16 tiles from the same stomach biopsy slide, H&E.
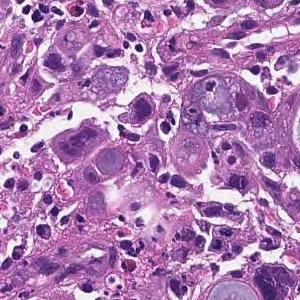
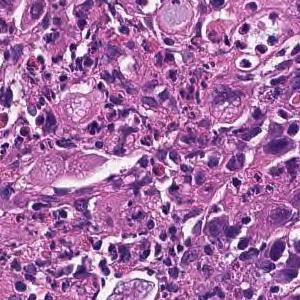
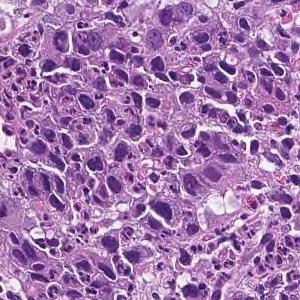
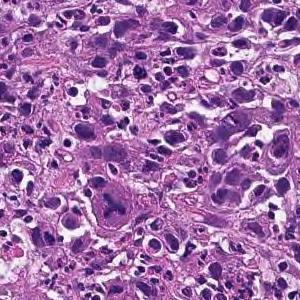
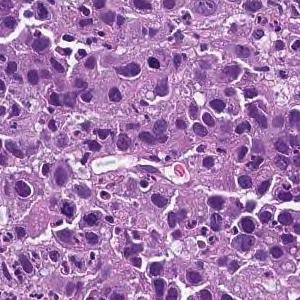
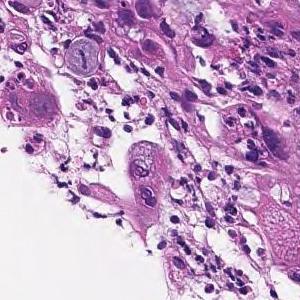
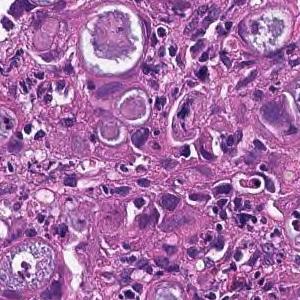
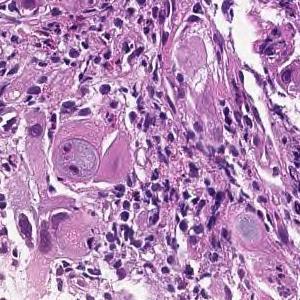
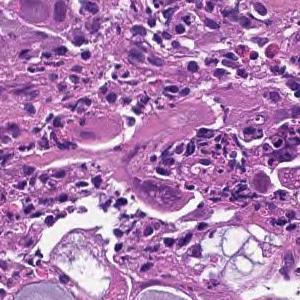
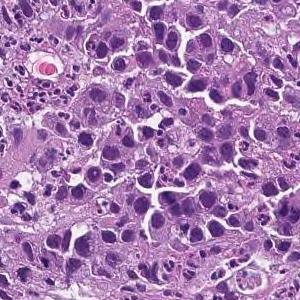
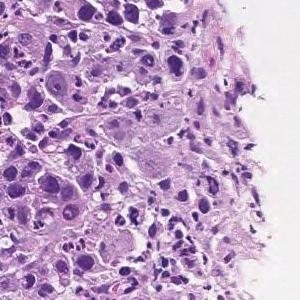
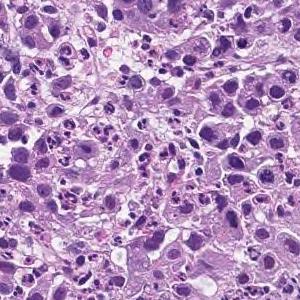
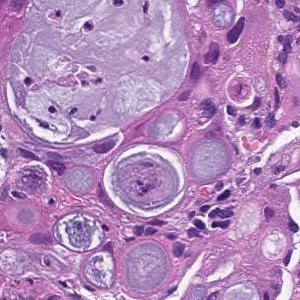
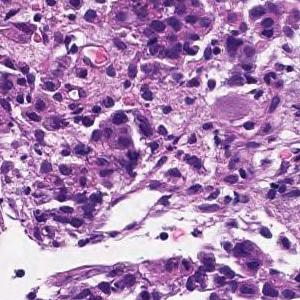
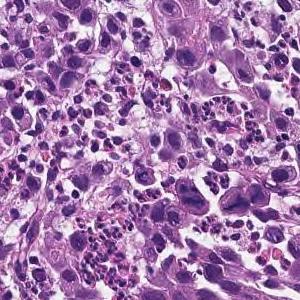
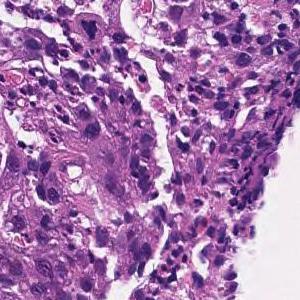
Pathology report for the biopsy slide these tiles were cut from. Both the report and the diagnosis are for the whole slide: these tiles need not show every feature named, and some of the tissue shown may not be tumor.
The superficial epithelium shows a large sheet-like shape, and some tumor tissue infiltrates with small irregular ducts. Poorly differentiated adenocarcinoma, solid-type
Histologic type: Poorly differentiated adenocarcinoma, solid type (Japanese Classification of Gastric Carcinoma). The WHO 2019 equivalent is tubular adenocarcinoma, poorly differentiated.
